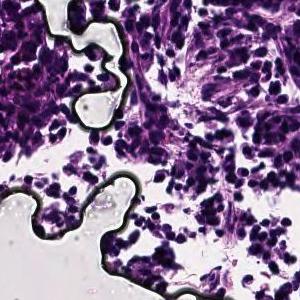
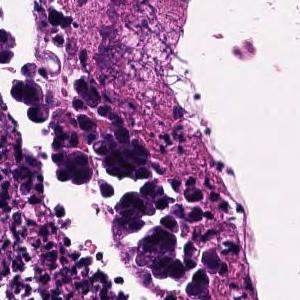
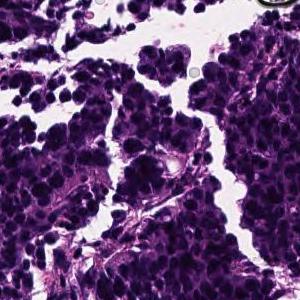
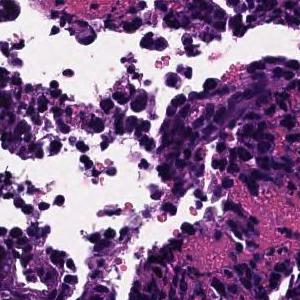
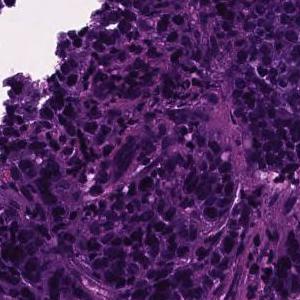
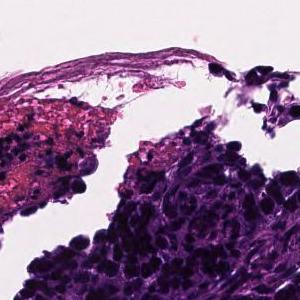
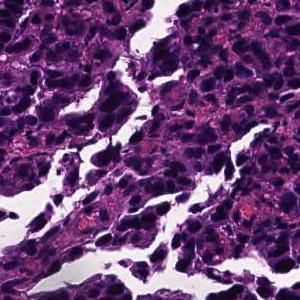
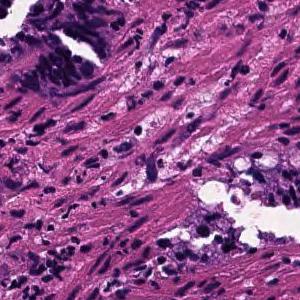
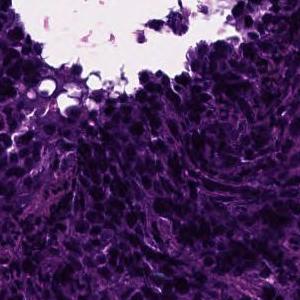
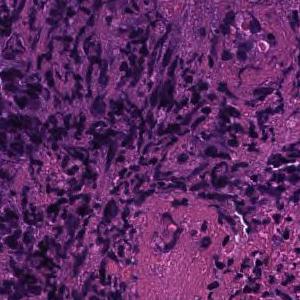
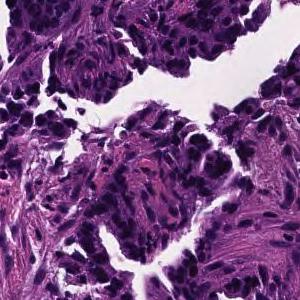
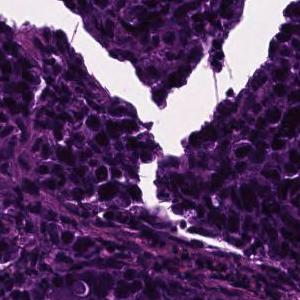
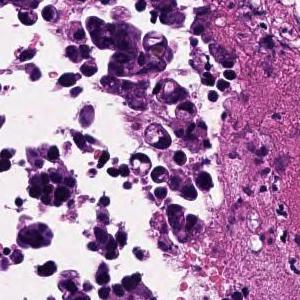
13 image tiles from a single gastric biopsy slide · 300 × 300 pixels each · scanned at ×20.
Diagnostic report for the slide these tiles come from. The findings and the diagnosis refer to the entire slide; these tiles show only part of it, possibly with non-tumor tissue, and may not show every feature named.
In the superficial epithelium, tumor tissue that invades by forming medium-sized to small, irregular ducts is observed. moderately differentiated tubular adenocarcinoma.
